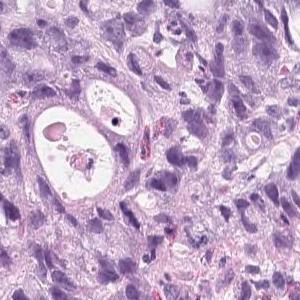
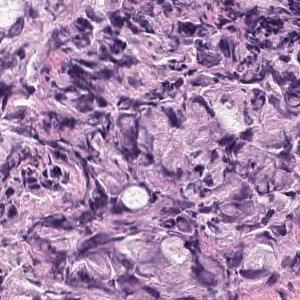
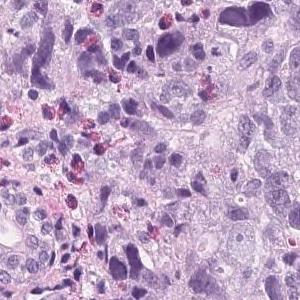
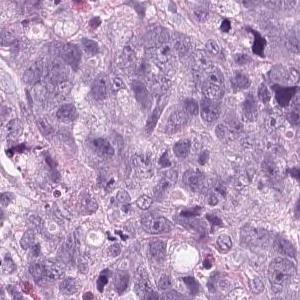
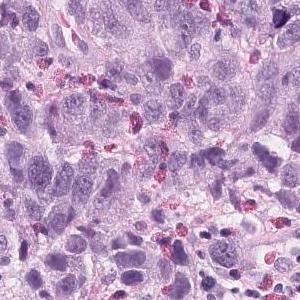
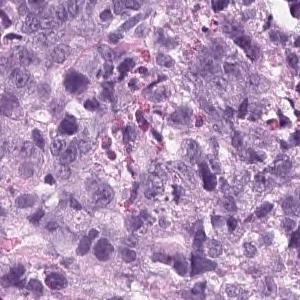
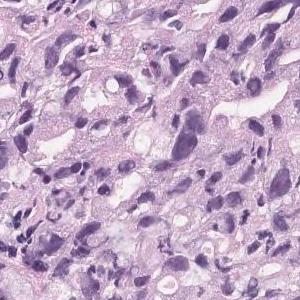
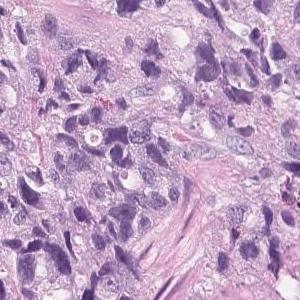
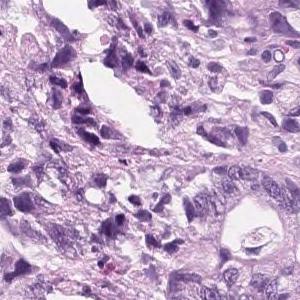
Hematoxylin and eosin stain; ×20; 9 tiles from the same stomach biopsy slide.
Pathology report for the slide these tiles were cut from. The report and the diagnosis cover the entire slide, so not every feature they name need be visible here, and some tissue shown may not be tumor.
Tumor tissue that infiltrates and proliferates by forming small glandular cavities in the superficial layer to the submucosa or forming a mass is observed. moderately differentiated tubular adenocarcinoma
